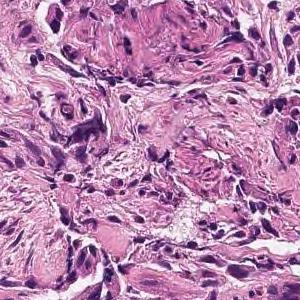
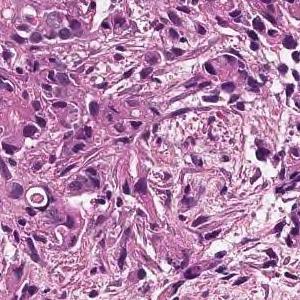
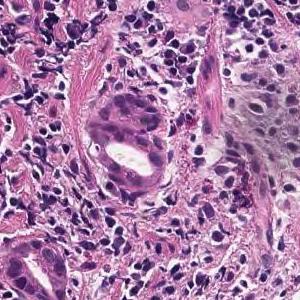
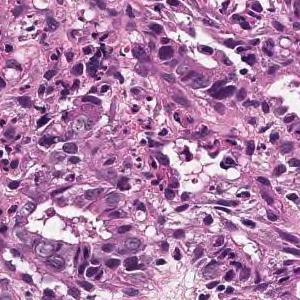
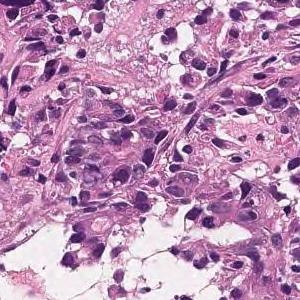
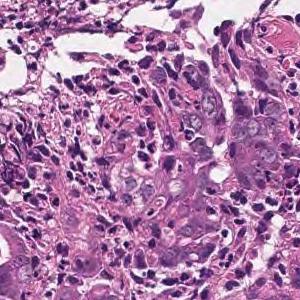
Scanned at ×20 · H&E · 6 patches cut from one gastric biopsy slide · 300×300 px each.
Report on the slide these tiles come from. Both the report and the diagnosis are for the whole slide: these tiles need not show every feature named, and some of the tissue shown may not be tumor.
Tumor tissue consisting of cord-like or small, irregular glandular ducts fused and infiltrated is observed in the superficial epithelium. Poorly differentiated adenocarcinoma, non-solid type
The term "non-solid type" comes from the Japanese Classification of Gastric Carcinoma.
